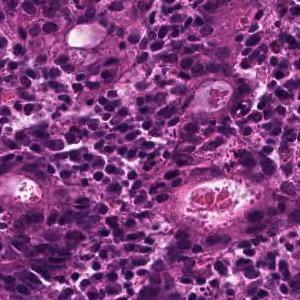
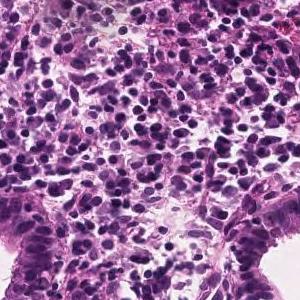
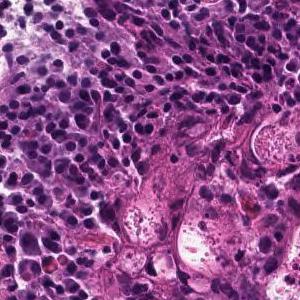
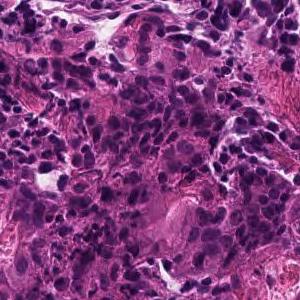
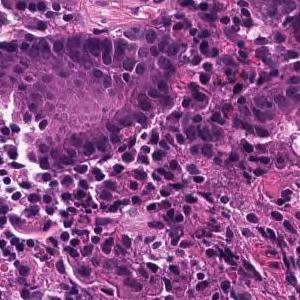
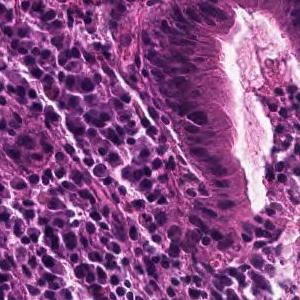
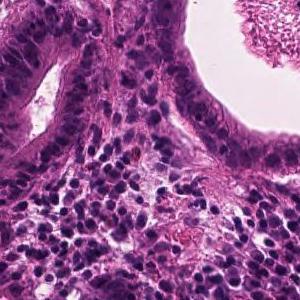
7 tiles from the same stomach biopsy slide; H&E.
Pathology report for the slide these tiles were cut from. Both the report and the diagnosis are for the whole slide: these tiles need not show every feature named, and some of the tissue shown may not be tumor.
Tumor tissue consisting of medium-sized, cord-like or irregular glandular infiltration is observed in the superficial epithelium. Poorly differentiated adenocarcinoma, non-solid type or moderately differentiated tubular adenocarcinoma
The dataset labels this slide poorly differentiated adenocarcinoma, non-solid type.
The term "non-solid type" comes from the Japanese Classification of Gastric Carcinoma.
